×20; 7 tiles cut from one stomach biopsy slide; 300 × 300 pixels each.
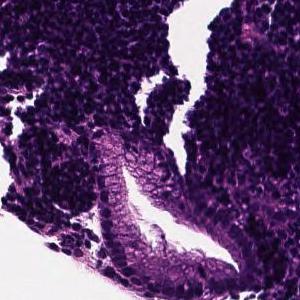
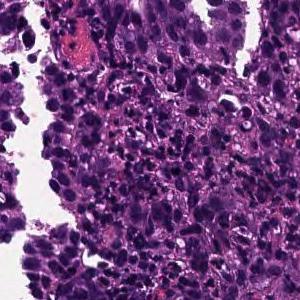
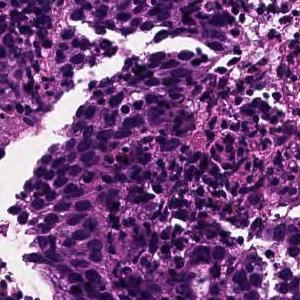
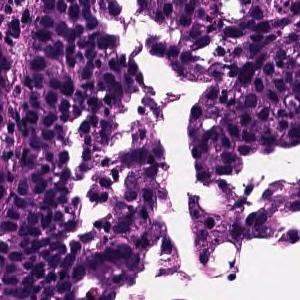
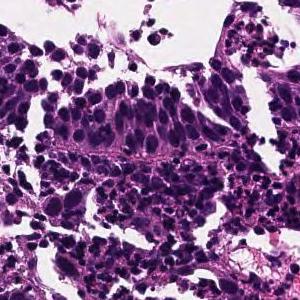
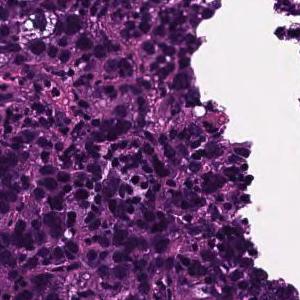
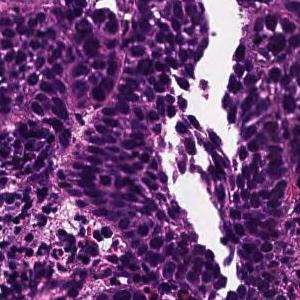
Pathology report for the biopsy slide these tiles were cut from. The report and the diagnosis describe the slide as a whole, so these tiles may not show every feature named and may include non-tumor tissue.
Tumor tissue consisting of cord-like or small, irregular glandular ducts fused and infiltrated is observed in the superficial epithelium. Poorly differentiated adenocarcinoma, non-solid type
The non-solid type named here is a Japanese Classification of Gastric Carcinoma category.
